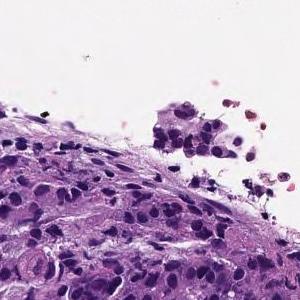
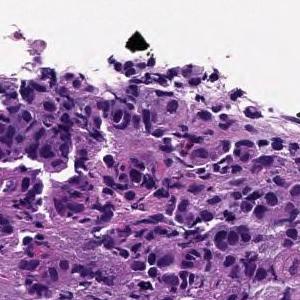
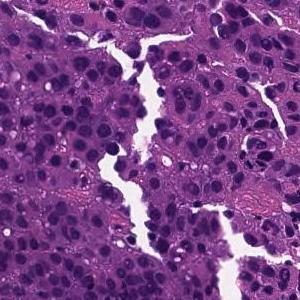
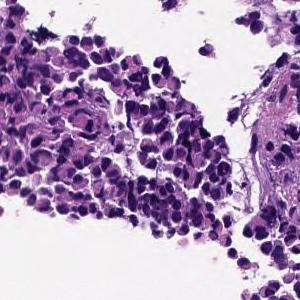
20× magnification · hematoxylin and eosin stain · 4 image tiles from a single gastric biopsy slide · 300×300 px each.
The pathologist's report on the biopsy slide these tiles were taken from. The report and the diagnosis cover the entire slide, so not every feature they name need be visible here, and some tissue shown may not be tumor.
The superficial epithelium shows a large sheet-like shape, and some tumor tissue infiltrates with small irregular ducts. Poorly differentiated adenocarcinoma, solid-type
Classified as poorly differentiated adenocarcinoma, solid type (Japanese Classification of Gastric Carcinoma). The WHO 2019 equivalent is tubular adenocarcinoma, poorly differentiated.
